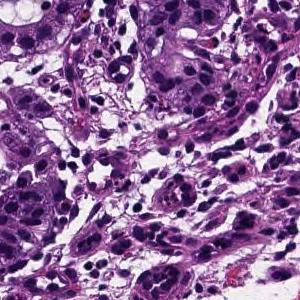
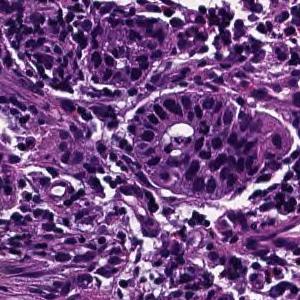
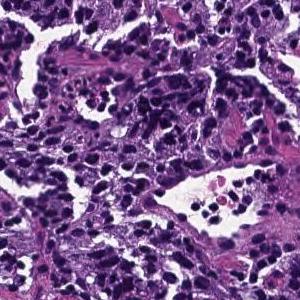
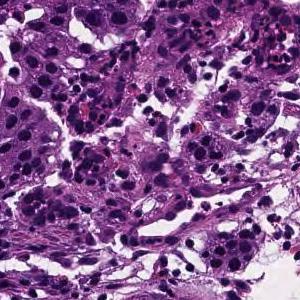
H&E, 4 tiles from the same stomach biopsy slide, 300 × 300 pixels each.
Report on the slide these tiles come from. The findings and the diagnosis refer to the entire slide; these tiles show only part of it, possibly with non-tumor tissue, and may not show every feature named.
Tumor tissue consisting of cord-like or small, irregular glandular ducts fused and infiltrated is observed in the superficial epithelium. Poorly differentiated adenocarcinoma, non-solid type
The term "non-solid type" comes from the Japanese Classification of Gastric Carcinoma.
